H&E; scanned at ×20; 10 patches cut from one gastric biopsy slide; 300×300 px each.
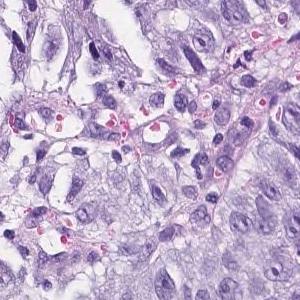
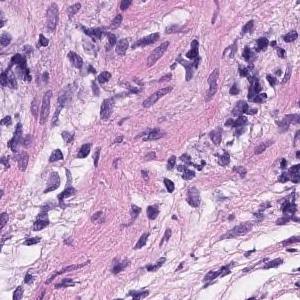
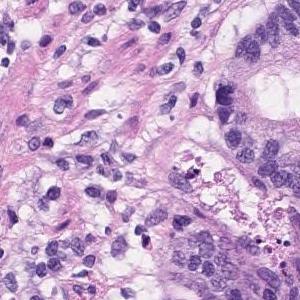
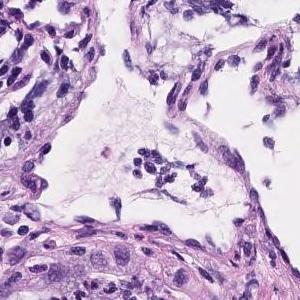
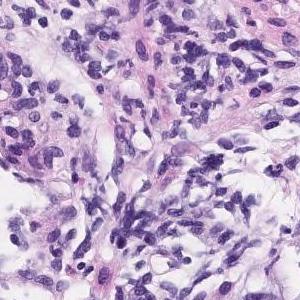
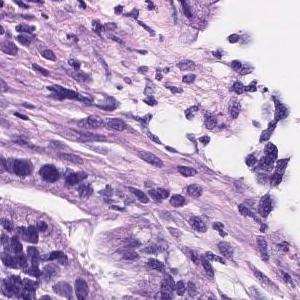
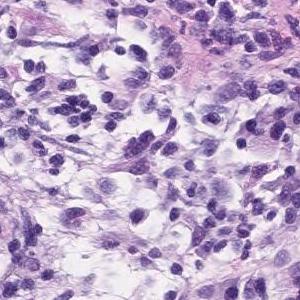
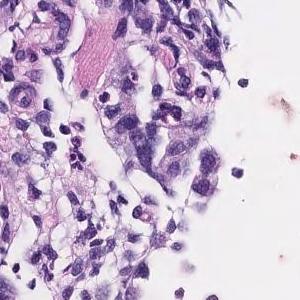
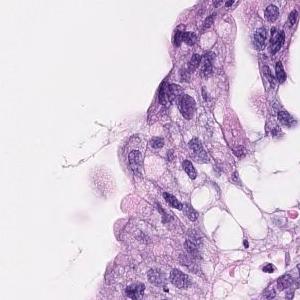
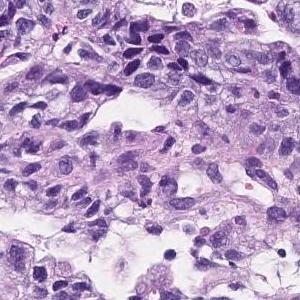
Pathology report for the biopsy slide these tiles were cut from. The findings and the diagnosis refer to the entire slide; these tiles show only part of it, possibly with non-tumor tissue, and may not show every feature named.
Tumor cells are large, highly columnar, large club-shaped nuclei, and are associated with chromatin aggregation. Papillary adenocarcinoma.
